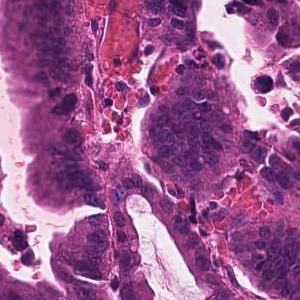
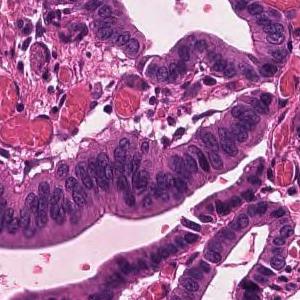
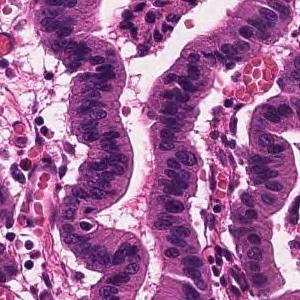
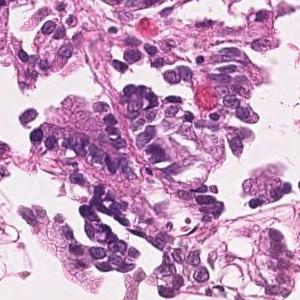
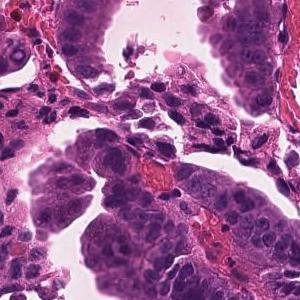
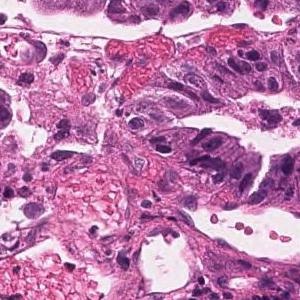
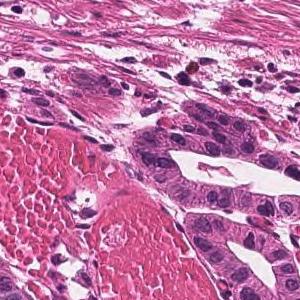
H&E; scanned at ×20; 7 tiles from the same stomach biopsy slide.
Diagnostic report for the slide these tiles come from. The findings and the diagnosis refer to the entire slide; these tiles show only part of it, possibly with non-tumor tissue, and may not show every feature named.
Infiltrating tumor tissue with medium-sized, irregular ductal structure or large papillary appearance is observed. Well differentiated tubular adenocarcinoma
